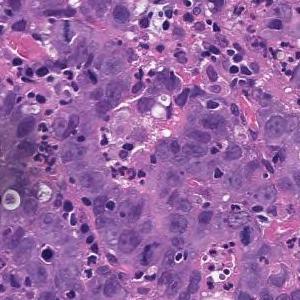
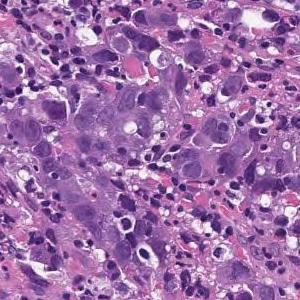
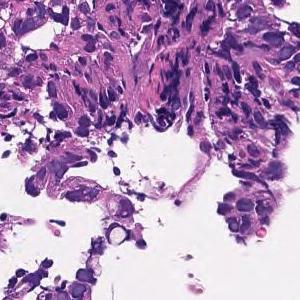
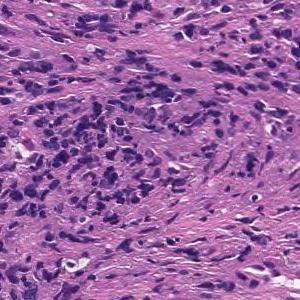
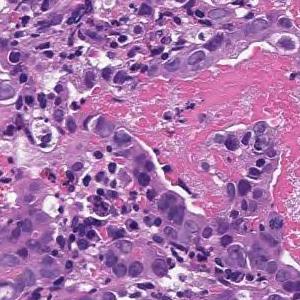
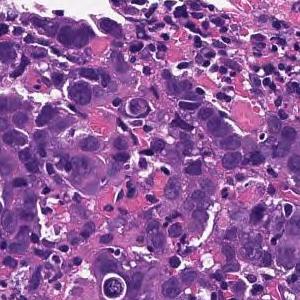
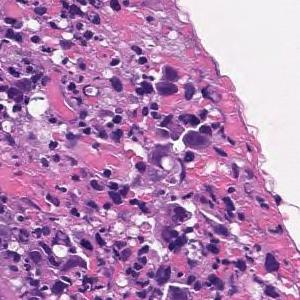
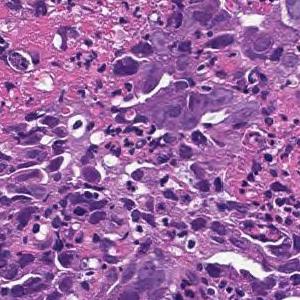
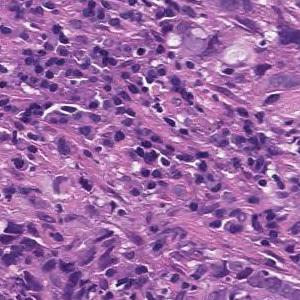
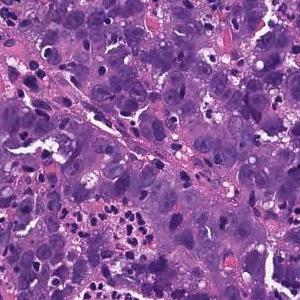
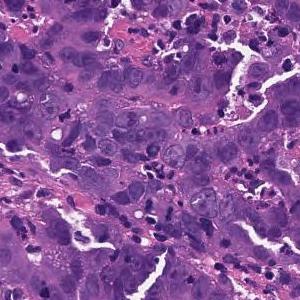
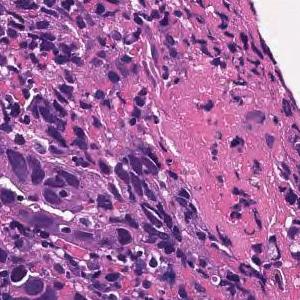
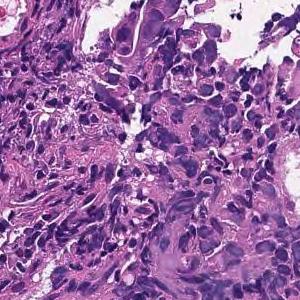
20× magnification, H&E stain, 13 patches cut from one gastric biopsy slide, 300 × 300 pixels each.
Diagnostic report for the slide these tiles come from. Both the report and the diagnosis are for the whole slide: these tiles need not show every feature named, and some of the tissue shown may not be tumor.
Tumor tissue consisting of cord-like or small, irregular glandular ducts fused and infiltrated is observed in the superficial epithelium. Poorly differentiated adenocarcinoma, non-solid type
The non-solid type named here is a Japanese Classification of Gastric Carcinoma category.
